4 tiles cut from one stomach biopsy slide, each 300 × 300 pixels, scanned at ×20, H&E stain.
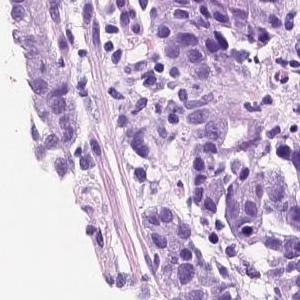
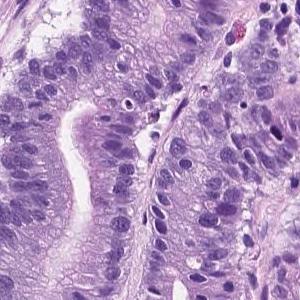
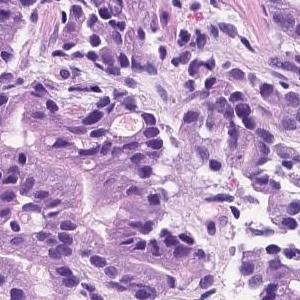
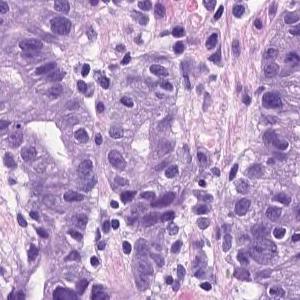
Report on the slide these tiles come from. The report and the diagnosis cover the entire slide, so not every feature they name need be visible here, and some tissue shown may not be tumor.
Tumor tissue consisting of medium-sized and irregular ducts is observed infiltrating in the superficial epithelium. Tumor cells are highly columnar, with nuclei aligned basolaterally and polarized. Well differentiated tubular adenocarcinoma.
